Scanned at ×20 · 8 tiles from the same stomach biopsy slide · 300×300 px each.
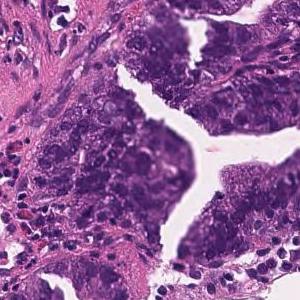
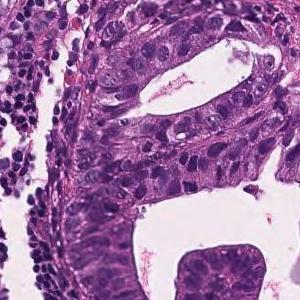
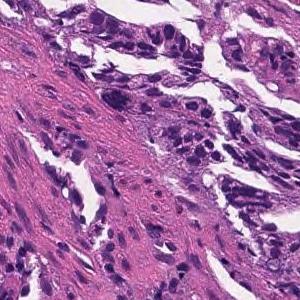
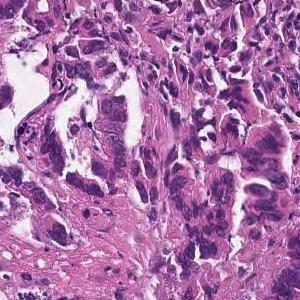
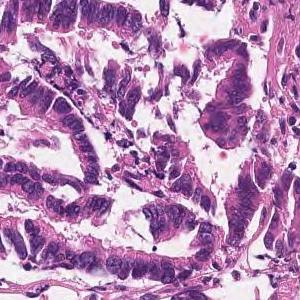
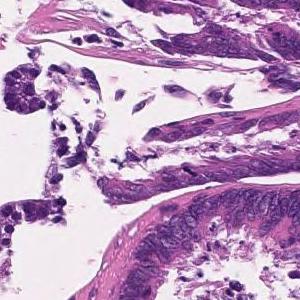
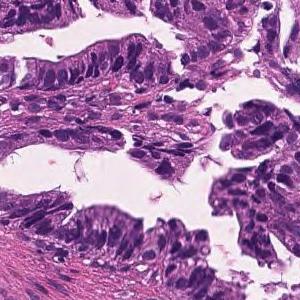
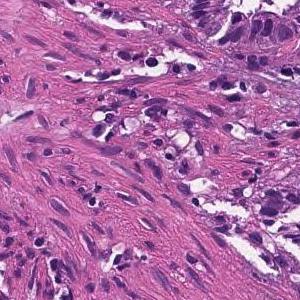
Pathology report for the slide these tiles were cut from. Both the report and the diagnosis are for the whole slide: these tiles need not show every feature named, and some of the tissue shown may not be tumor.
On the superficial epithelium, tumor tissue consisting of large, irregular glandular ducts partially fused and infiltrated is observed. Well to moderately differentiated tubular adenocarcinoma (well differentiated tubular adenocarcinoma, moderately differentiated tubular adenocarcinoma)
Tumor subtype: well to moderately differentiated tubular adenocarcinoma.
